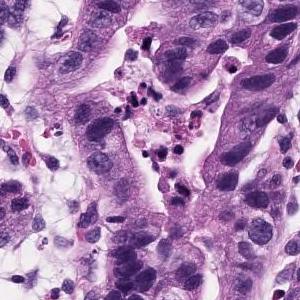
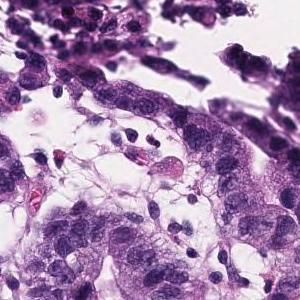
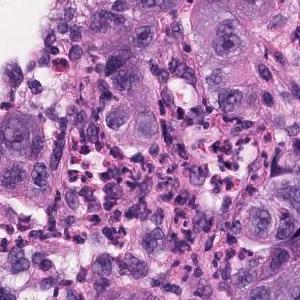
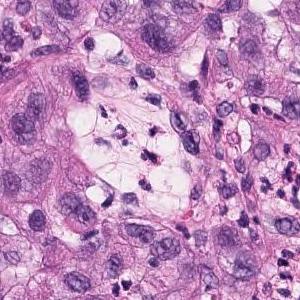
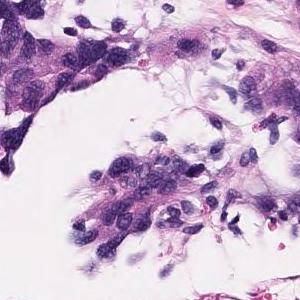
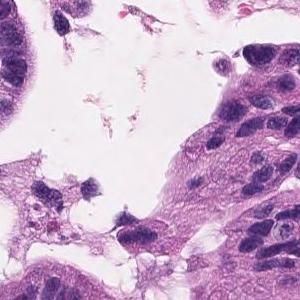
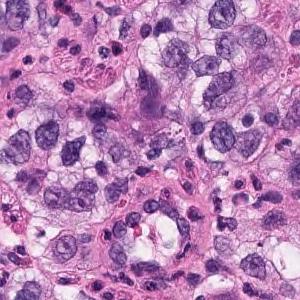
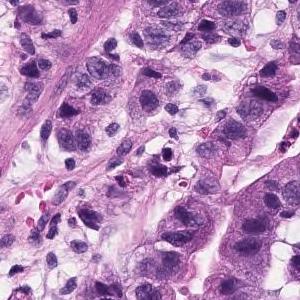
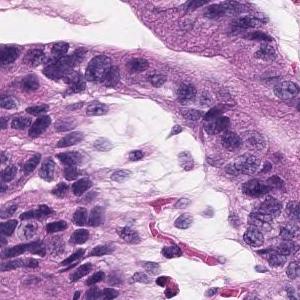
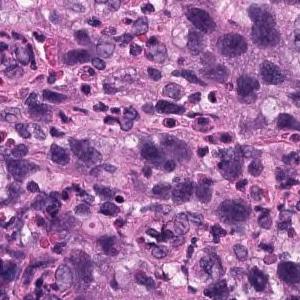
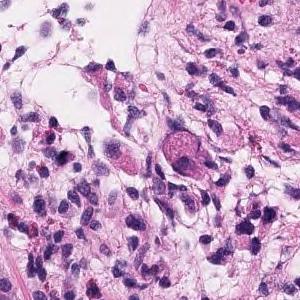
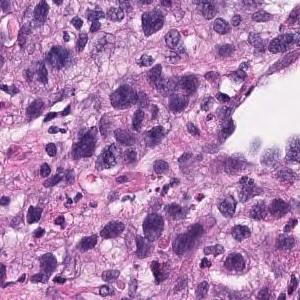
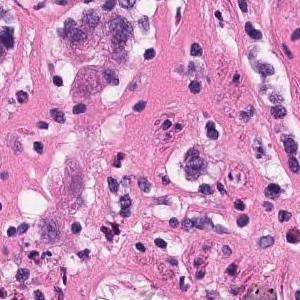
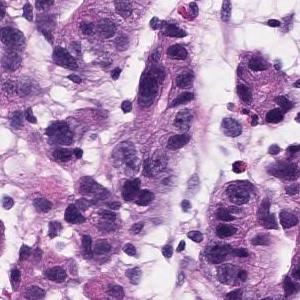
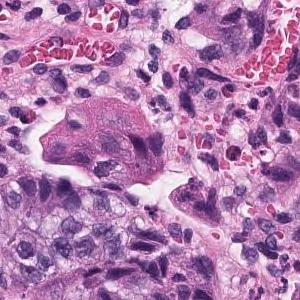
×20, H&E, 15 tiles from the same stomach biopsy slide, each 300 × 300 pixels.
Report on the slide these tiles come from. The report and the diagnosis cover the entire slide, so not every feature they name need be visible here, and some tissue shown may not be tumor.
Atypical l cells with atypical nuclei forming diffuse or small irregular atypical ducts and growing. Moderately to poorly differentiated adenocarcinoma (poorly differentiated adenocarcinoma, solid type, moderately differentiated tubular adenocarcinoma)
Tumor subtype: moderately to poorly differentiated adenocarcinoma.
"Solid type" is a category of the Japanese Classification of Gastric Carcinoma; in the WHO 2019 classification it is tubular adenocarcinoma, poorly differentiated.
